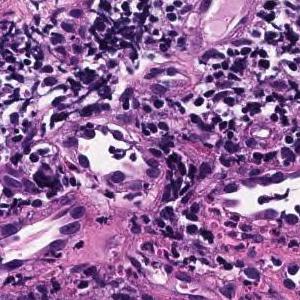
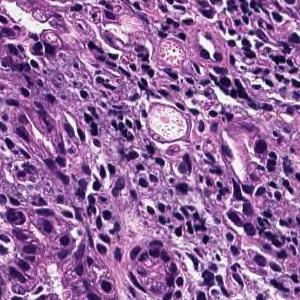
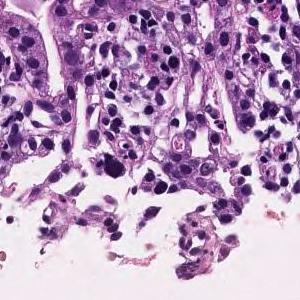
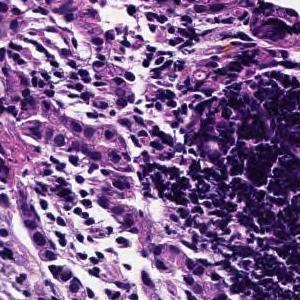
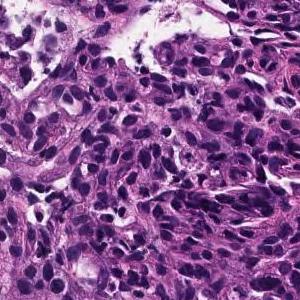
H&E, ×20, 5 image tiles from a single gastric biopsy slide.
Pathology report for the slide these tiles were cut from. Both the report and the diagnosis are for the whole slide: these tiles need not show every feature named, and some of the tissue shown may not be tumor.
Medium to small, irregular glandular ducts are formed in the superficial epithelium, and in some cases, the glandular ducts are fused to show solid alveolar lesions and infiltrating tumor tissue is observed. Moderately to poorly differentiated adenocarcinoma.
